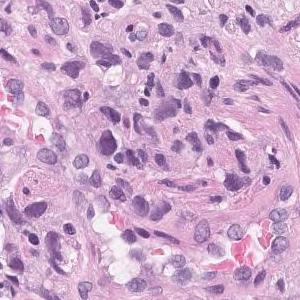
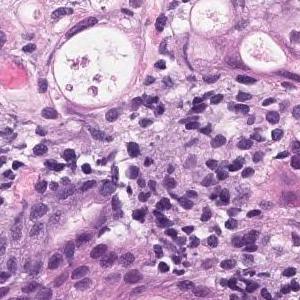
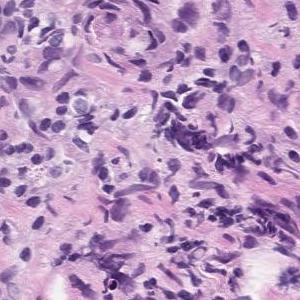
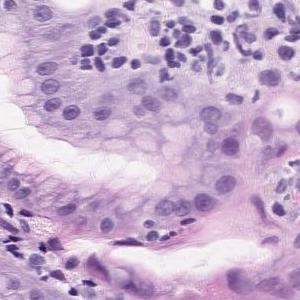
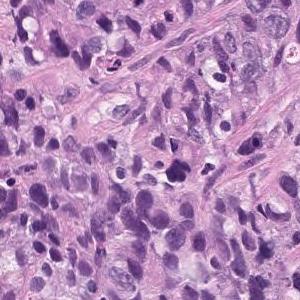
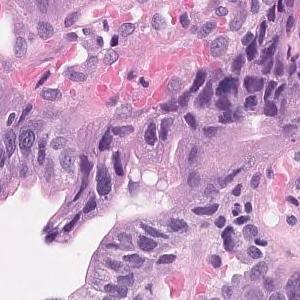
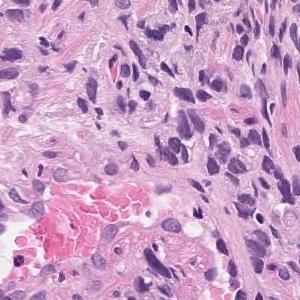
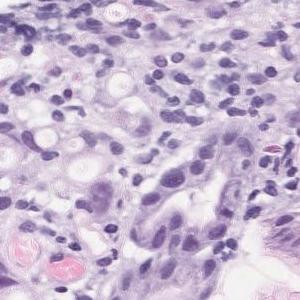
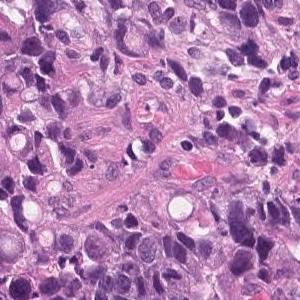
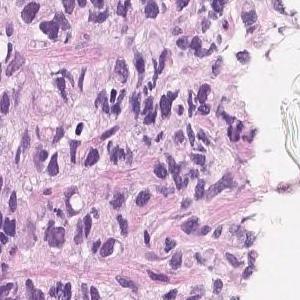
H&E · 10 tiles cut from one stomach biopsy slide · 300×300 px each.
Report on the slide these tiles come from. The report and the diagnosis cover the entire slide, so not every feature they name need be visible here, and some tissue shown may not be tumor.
Tumor tissue consisting of medium-sized, cord-like or irregular glandular infiltration is observed in the superficial epithelium. Poorly differentiated adenocarcinoma, non-solid type or moderately differentiated tubular adenocarcinoma
The dataset labels this slide poorly differentiated adenocarcinoma, non-solid type.
The non-solid type named here is a Japanese Classification of Gastric Carcinoma category.
